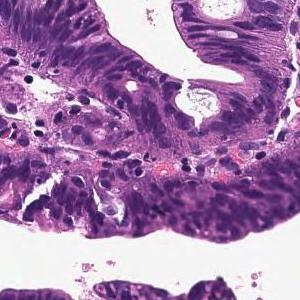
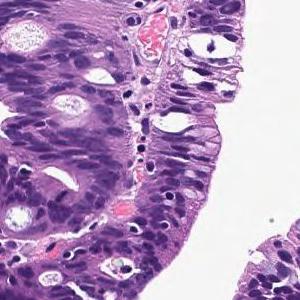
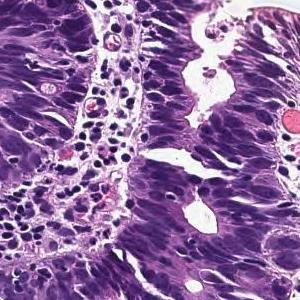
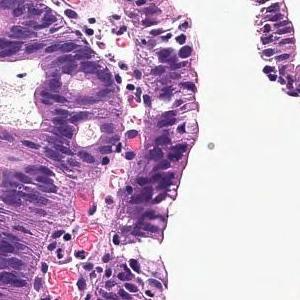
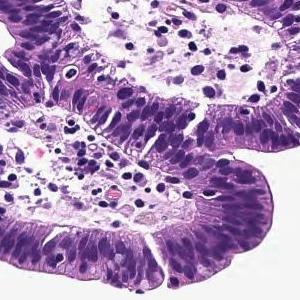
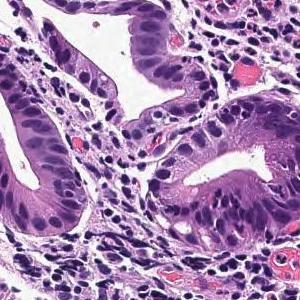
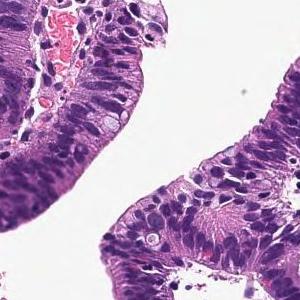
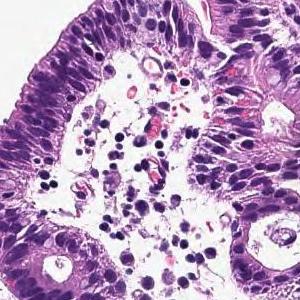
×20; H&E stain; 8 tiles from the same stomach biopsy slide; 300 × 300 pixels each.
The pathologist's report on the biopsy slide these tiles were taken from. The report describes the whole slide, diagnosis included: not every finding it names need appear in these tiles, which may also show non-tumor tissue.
Infiltrating tumor tissue is observed in the superficial epithelium, showing large papillary structures or large and small ducts. Papillary adenocarcinoma
